9 tiles cut from one stomach biopsy slide; 300×300 px each; H&E stain.
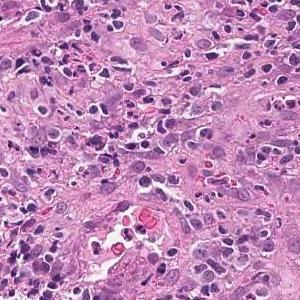
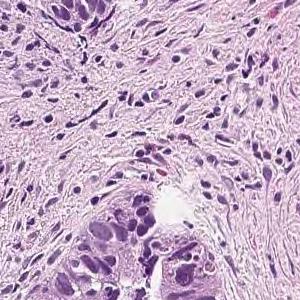
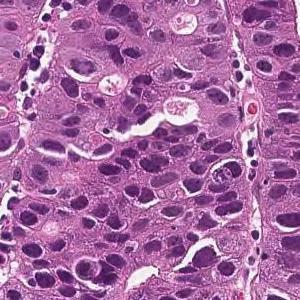
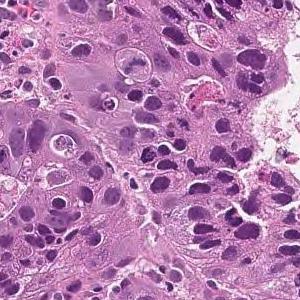
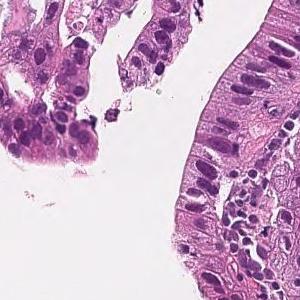
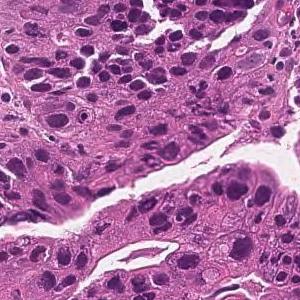
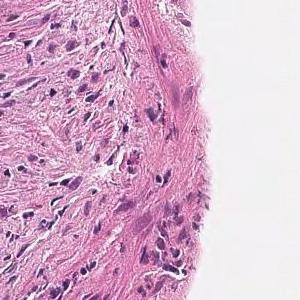
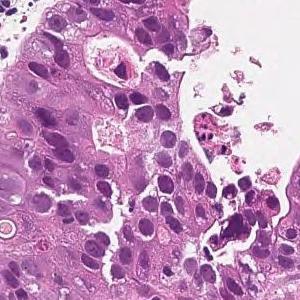
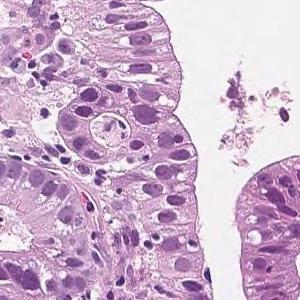
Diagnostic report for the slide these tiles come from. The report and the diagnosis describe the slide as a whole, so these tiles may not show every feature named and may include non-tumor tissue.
In the superficial epithelium, tumor tissue that invades by forming medium-sized to small, irregular ducts is observed. moderately differentiated tubular adenocarcinoma.
